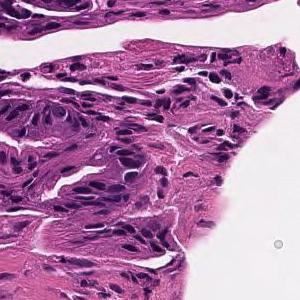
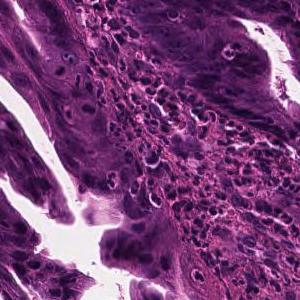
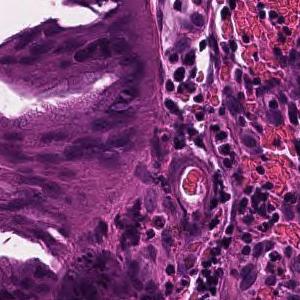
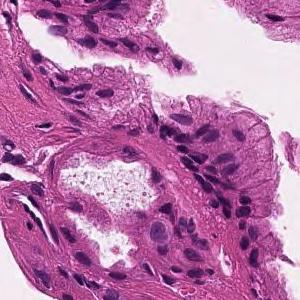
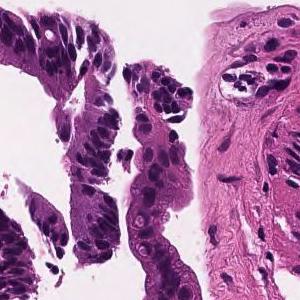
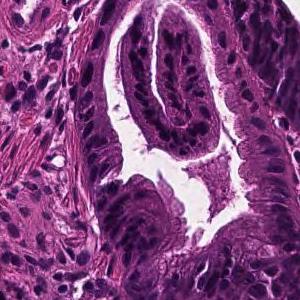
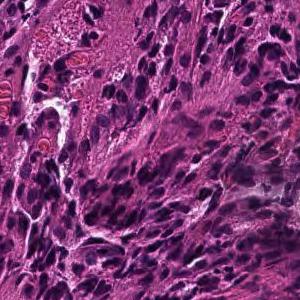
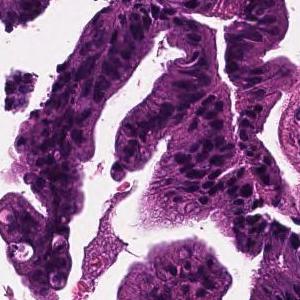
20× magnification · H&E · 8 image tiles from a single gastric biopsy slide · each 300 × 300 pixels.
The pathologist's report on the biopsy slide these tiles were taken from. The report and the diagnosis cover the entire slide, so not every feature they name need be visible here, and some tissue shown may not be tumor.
Tumor cells are large, highly columnar, large club-shaped nuclei, and are associated with chromatin aggregation. Papillary adenocarcinoma.
